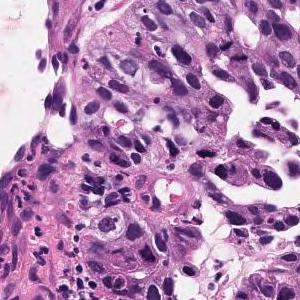
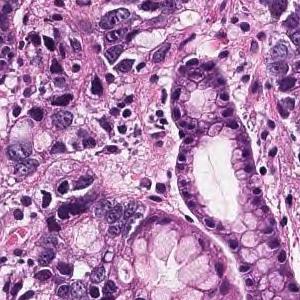
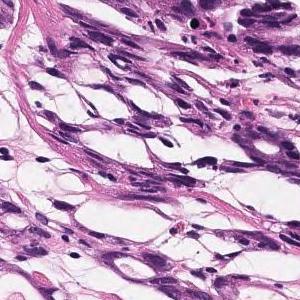
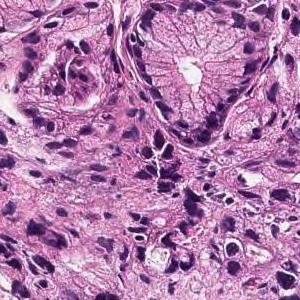
4 image tiles from a single gastric biopsy slide · 300 × 300 pixels each · ×20 · H&E.
Pathology report for the slide these tiles were cut from. Both the report and the diagnosis are for the whole slide: these tiles need not show every feature named, and some of the tissue shown may not be tumor.
In the superficial epithelium, tumor tissue that invades by forming medium-sized to small, irregular ducts is observed. Moderately differentiated adenocarcinoma.
Classified as moderately differentiated tubular adenocarcinoma.
